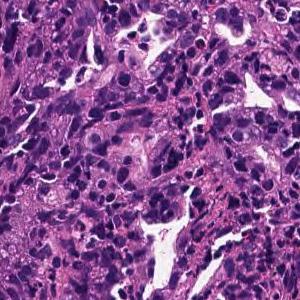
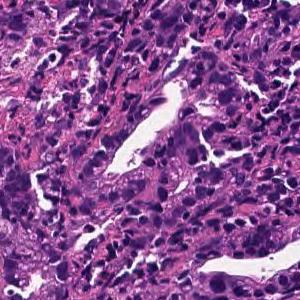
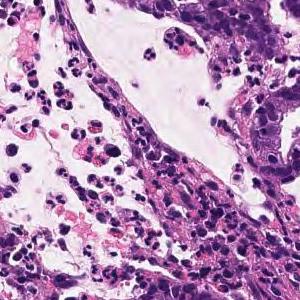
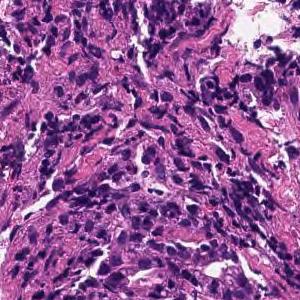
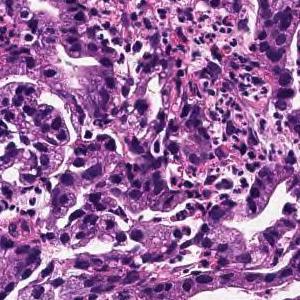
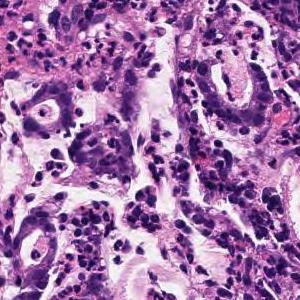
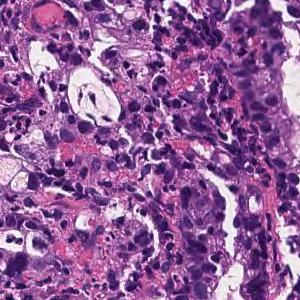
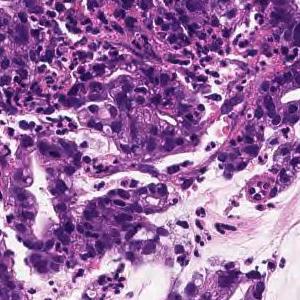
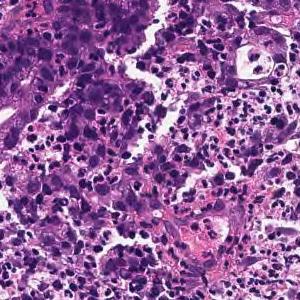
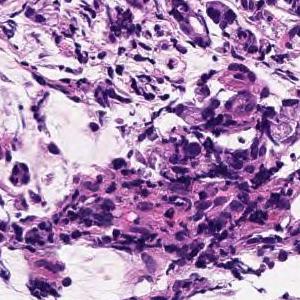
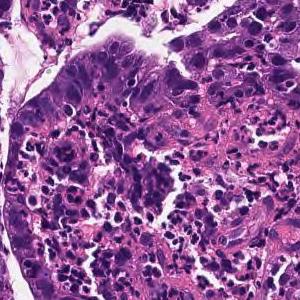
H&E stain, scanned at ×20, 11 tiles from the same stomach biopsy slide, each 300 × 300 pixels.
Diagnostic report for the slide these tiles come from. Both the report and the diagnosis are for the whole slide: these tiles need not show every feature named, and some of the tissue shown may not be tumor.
On the superficial epithelium, tumor tissue consisting of large, irregular glandular ducts partially fused and infiltrated is observed. Well to moderately differentiated tubular adenocarcinoma (well differentiated tubular adenocarcinoma, moderately differentiated tubular adenocarcinoma)
Classified as well to moderately differentiated tubular adenocarcinoma.
